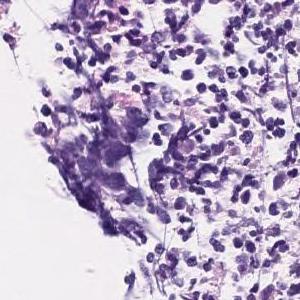
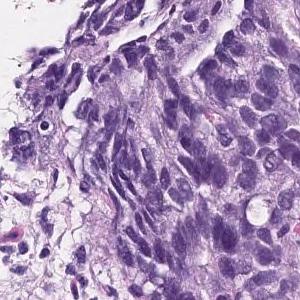
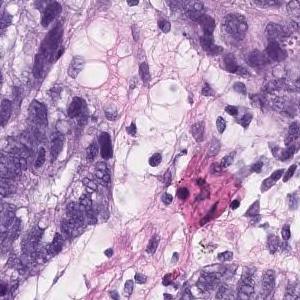
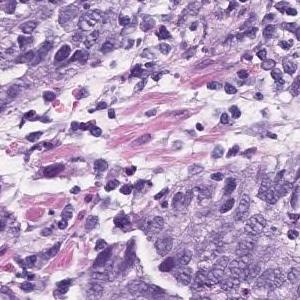
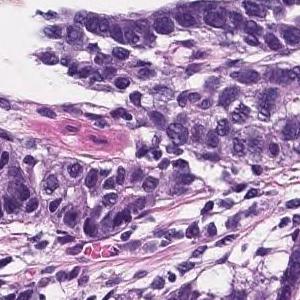
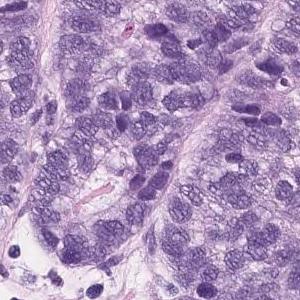
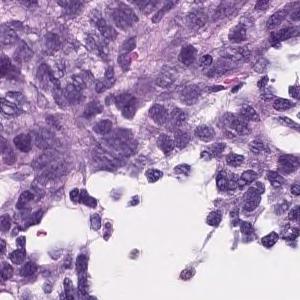
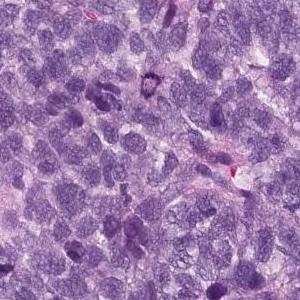
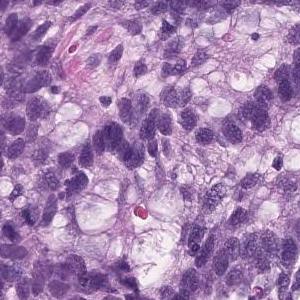
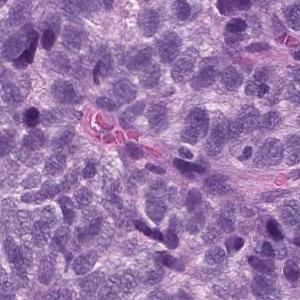
10 tiles from the same stomach biopsy slide, H&E stain.
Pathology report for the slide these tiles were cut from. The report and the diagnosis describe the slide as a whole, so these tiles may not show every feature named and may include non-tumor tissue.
Epithelial cells with swollen nuclei with atypia invasively proliferating while forming vesicles is observed. Poorly differentiated adenocarcinoma
Tumor subtype: poorly differentiated adenocarcinoma, solid type. This name comes from the Japanese Classification of Gastric Carcinoma; the WHO 2019 classification calls it tubular adenocarcinoma, poorly differentiated.
